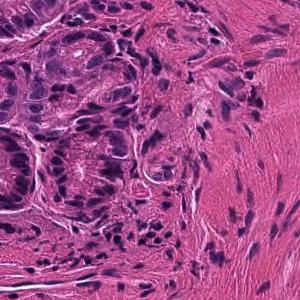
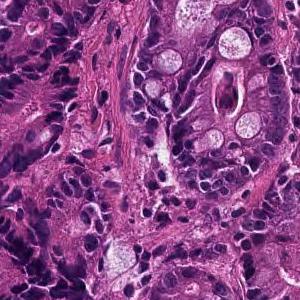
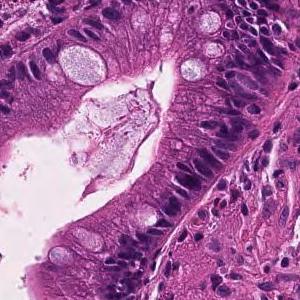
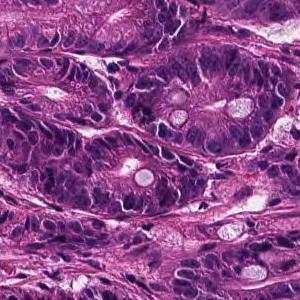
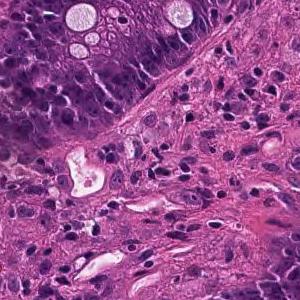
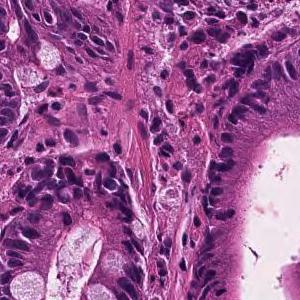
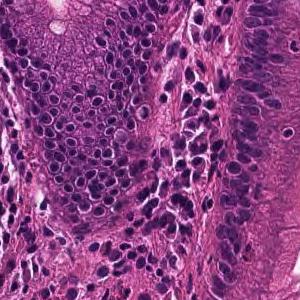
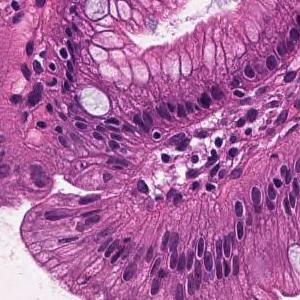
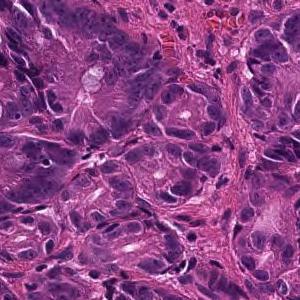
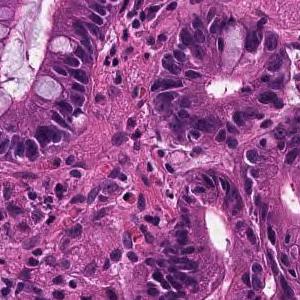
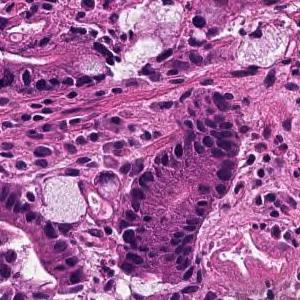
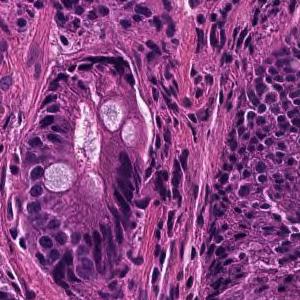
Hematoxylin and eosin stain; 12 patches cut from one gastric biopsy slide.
Diagnostic report for the slide these tiles come from. The report and the diagnosis cover the entire slide, so not every feature they name need be visible here, and some tissue shown may not be tumor.
Medium to small, irregular glandular ducts are formed in the superficial epithelium, and in some cases, the glandular ducts are fused to show solid alveolar lesions and infiltrating tumor tissue is observed. Moderately to poorly differentiated adenocarcinoma.
